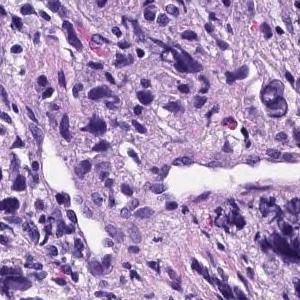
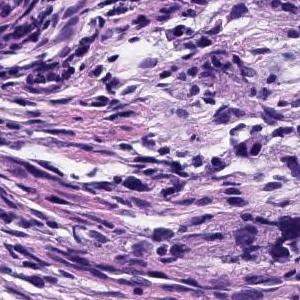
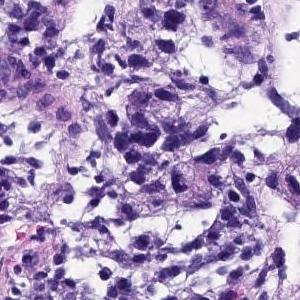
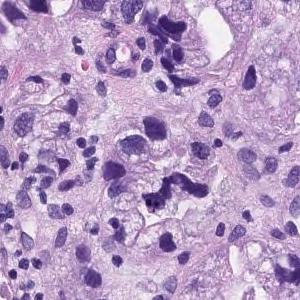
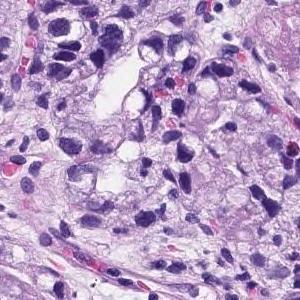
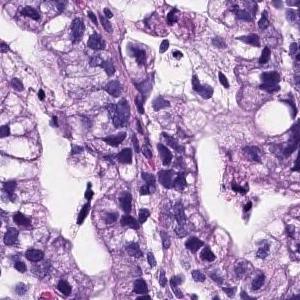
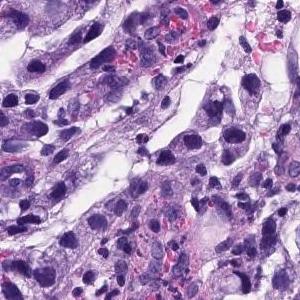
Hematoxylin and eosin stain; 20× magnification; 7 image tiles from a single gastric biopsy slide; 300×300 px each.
Pathology report for the slide these tiles were cut from. The report and the diagnosis cover the entire slide, so not every feature they name need be visible here, and some tissue shown may not be tumor.
Medium to small, irregular glandular ducts are formed in the superficial epithelium, and in some cases, the glandular ducts are fused to show solid alveolar lesions and infiltrating tumor tissue is observed. Poorly differentiated adenocarcinoma, Moderately differentiated adenocarcinoma.
Labeled in the dataset as moderately differentiated tubular adenocarcinoma.
